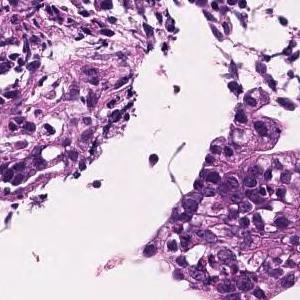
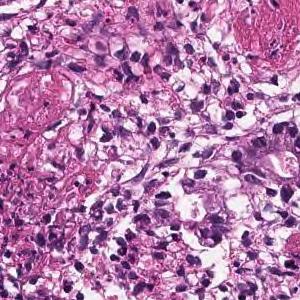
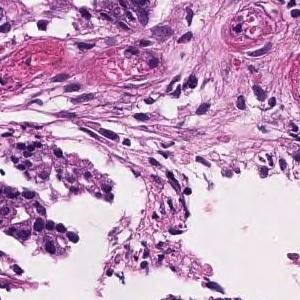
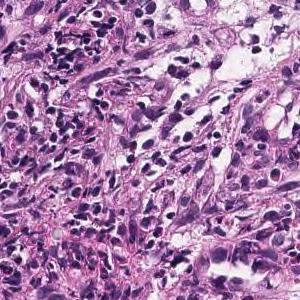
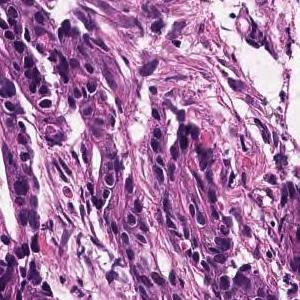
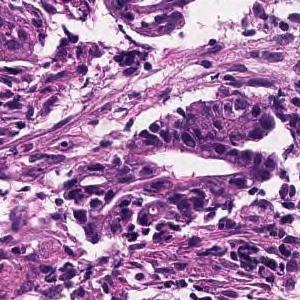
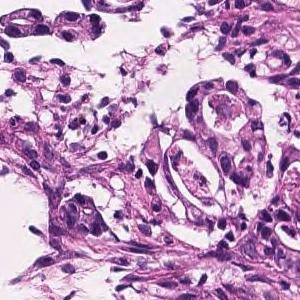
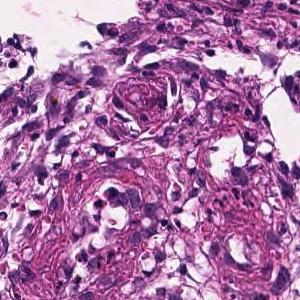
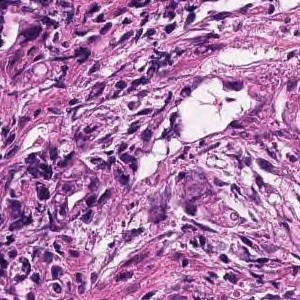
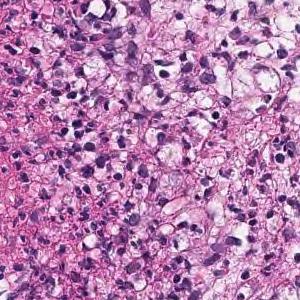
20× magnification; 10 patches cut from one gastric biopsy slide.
Report on the slide these tiles come from. What the report and the diagnosis say applies to the whole slide; these tiles may miss some of the features named and may include tissue that is not tumor.
In the superficial epithelium, medium to small, irregular gland ducts are formed, and in some cases, the gland ducts are fused to show solid alveolar lesions and infiltrating tumor tissue is observed. Moderately to poorly differentiated adenocarcinoma.
